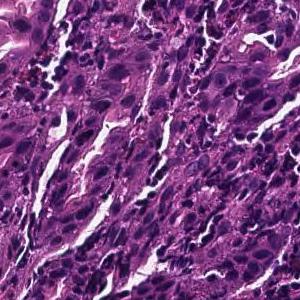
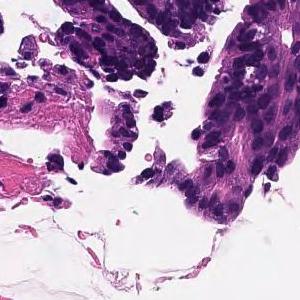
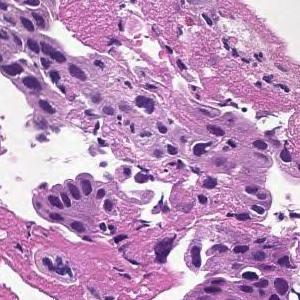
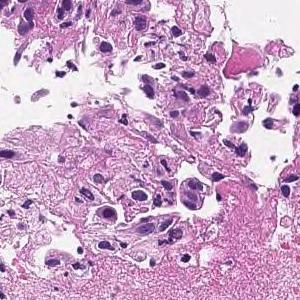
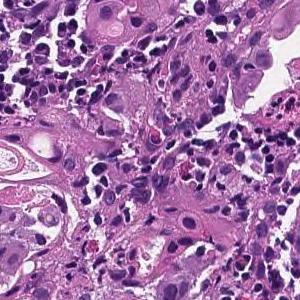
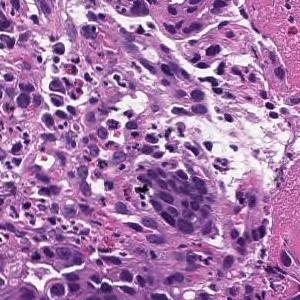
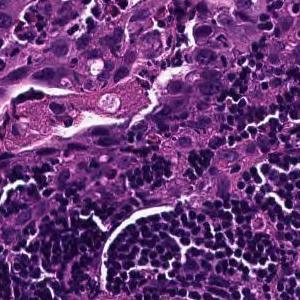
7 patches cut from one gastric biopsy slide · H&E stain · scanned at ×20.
The pathologist's report on the biopsy slide these tiles were taken from. Both the report and the diagnosis are for the whole slide: these tiles need not show every feature named, and some of the tissue shown may not be tumor.
In the superficial epithelium, tumor tissue that invades by forming medium-sized to small, irregular ducts is observed. moderately differentiated tubular adenocarcinoma.
